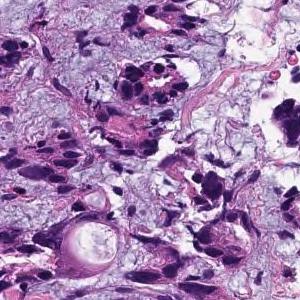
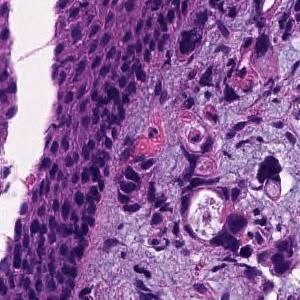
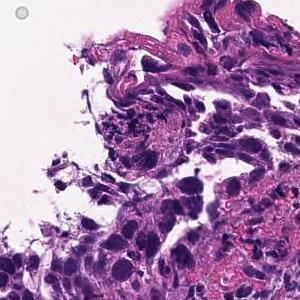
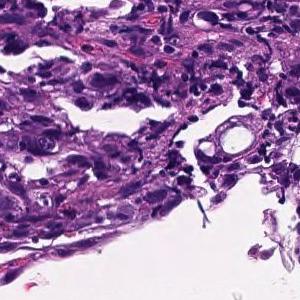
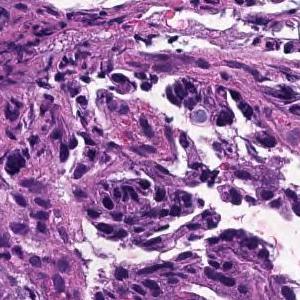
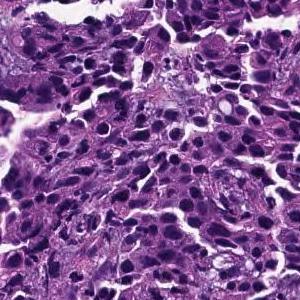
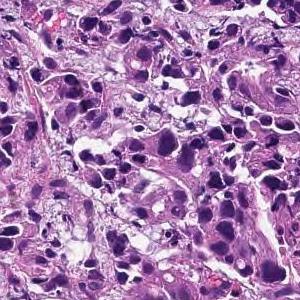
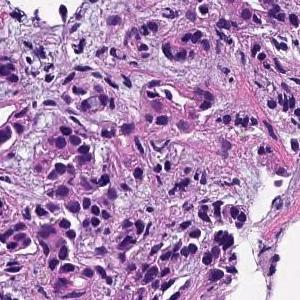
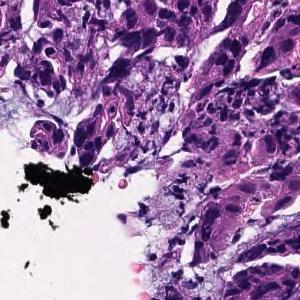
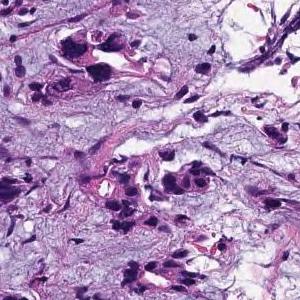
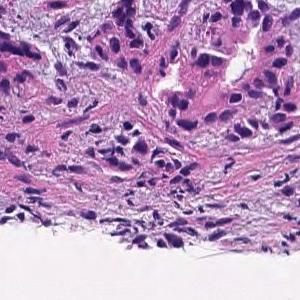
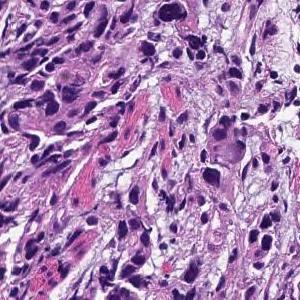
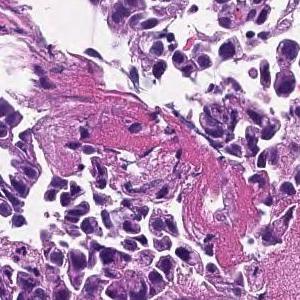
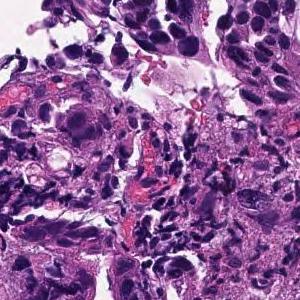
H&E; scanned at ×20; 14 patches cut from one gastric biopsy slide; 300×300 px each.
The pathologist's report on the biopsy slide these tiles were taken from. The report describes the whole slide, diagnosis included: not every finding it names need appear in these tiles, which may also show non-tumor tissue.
Tumor tissue consisting of cord-like or small, irregular glandular ducts fused and infiltrated is observed in the superficial epithelium. Poorly differentiated adenocarcinoma, non-solid type
The non-solid type named here is a Japanese Classification of Gastric Carcinoma category.
